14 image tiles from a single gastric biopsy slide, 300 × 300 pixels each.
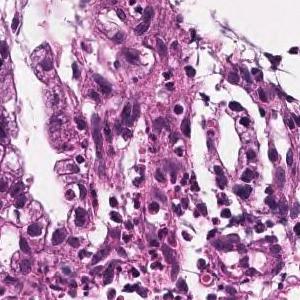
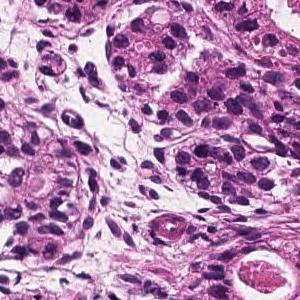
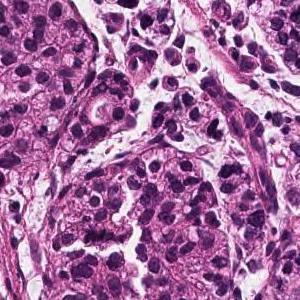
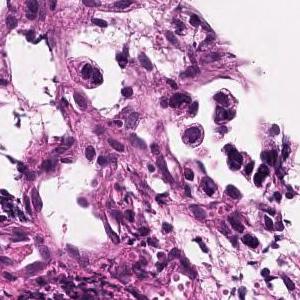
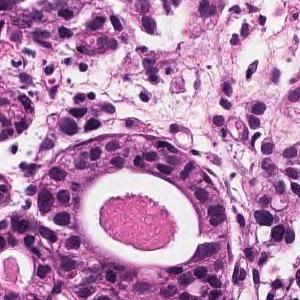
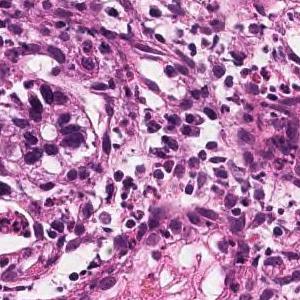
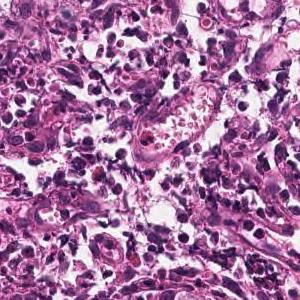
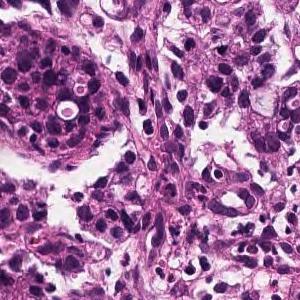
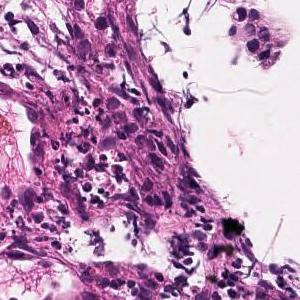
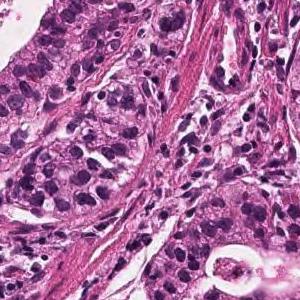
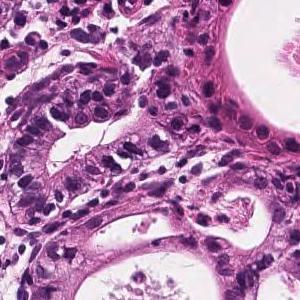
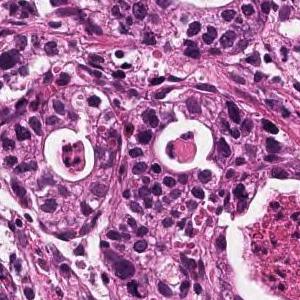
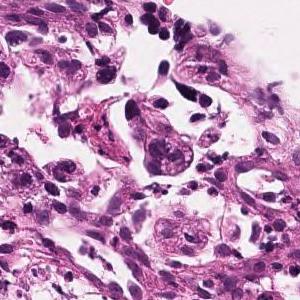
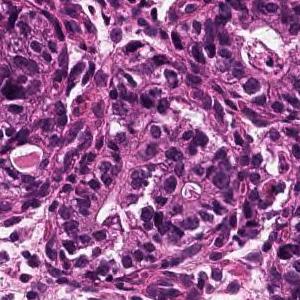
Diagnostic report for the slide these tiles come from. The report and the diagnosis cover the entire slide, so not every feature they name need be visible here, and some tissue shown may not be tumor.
Tumor tissue consisting of medium-sized and irregular ducts is observed infiltrating in the superficial epithelium. Tumor cells are highly columnar, with nuclei aligned basolaterally and polarized. Well differentiated tubular adenocarcinoma.
